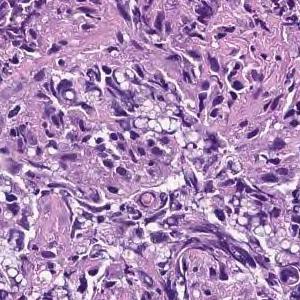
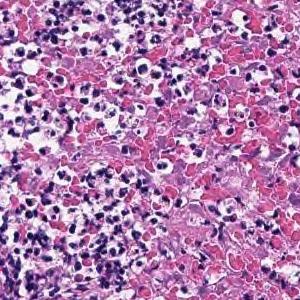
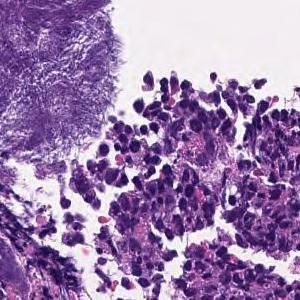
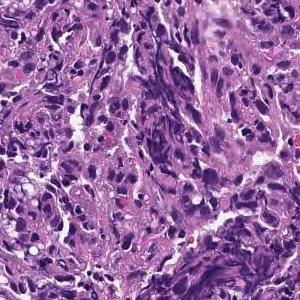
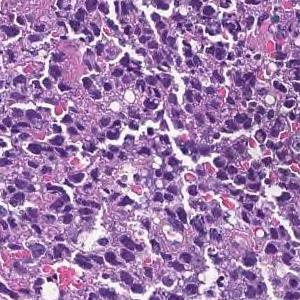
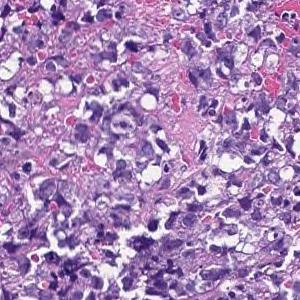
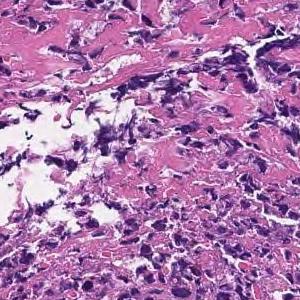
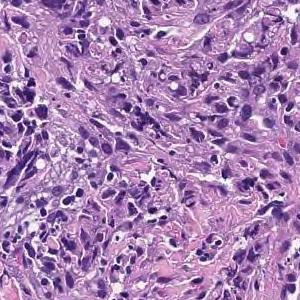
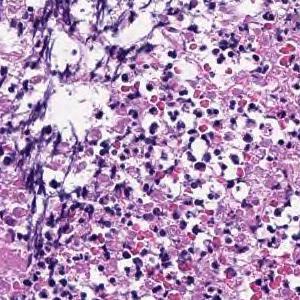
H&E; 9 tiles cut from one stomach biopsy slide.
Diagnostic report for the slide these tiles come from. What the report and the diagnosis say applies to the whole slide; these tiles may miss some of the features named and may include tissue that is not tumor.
Most are composed of coagulative necrotic tissue, but some show a large sheet-like shape, and some show tumor tissue infiltrating with a small cord-like structure. Poorly differentiated adenocarcinoma, solid-type
Histological subtype: Poorly differentiated adenocarcinoma, solid type (Japanese Classification of Gastric Carcinoma). The WHO 2019 equivalent is tubular adenocarcinoma, poorly differentiated.
